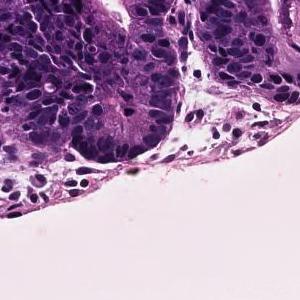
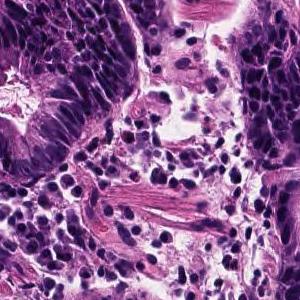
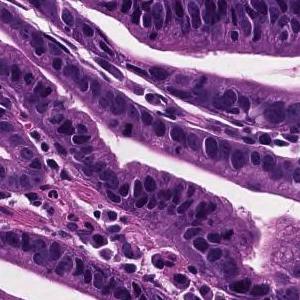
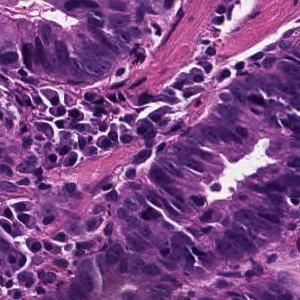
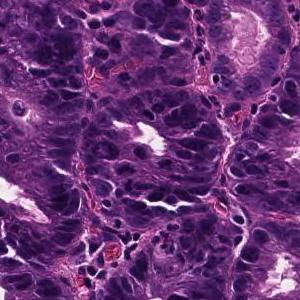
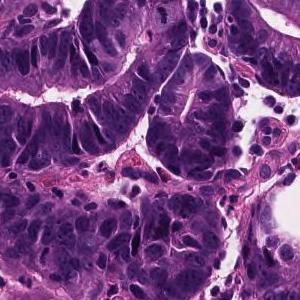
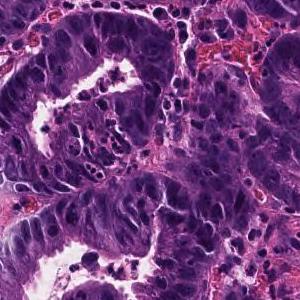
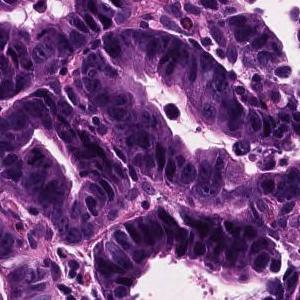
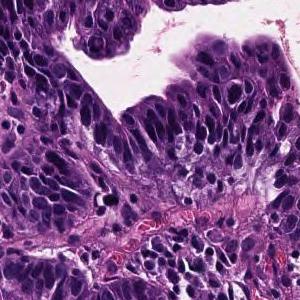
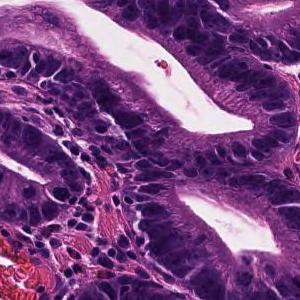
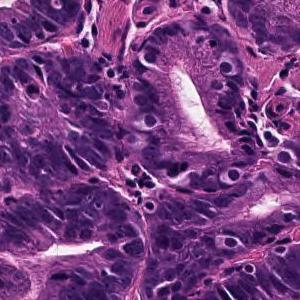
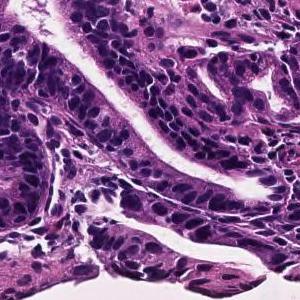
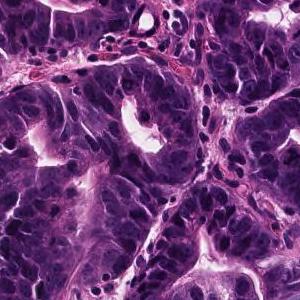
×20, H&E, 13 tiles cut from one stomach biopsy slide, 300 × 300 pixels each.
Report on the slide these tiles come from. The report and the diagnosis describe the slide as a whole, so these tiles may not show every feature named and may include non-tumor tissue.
On the superficial epithelium, tumor tissue consisting of growth of medium-sized to large-sized, round or irregular glandular ducts is observed. Well differentiated tubular adenocarcinoma
